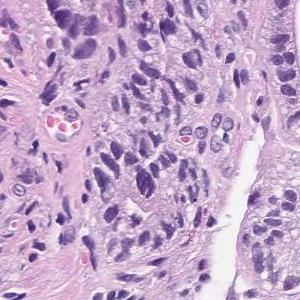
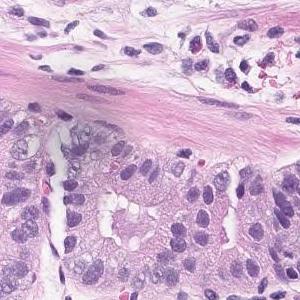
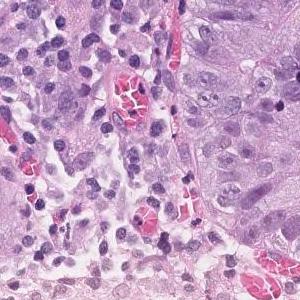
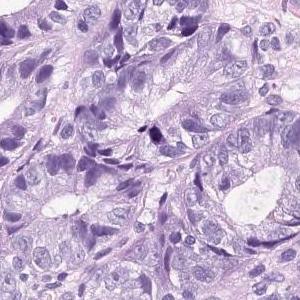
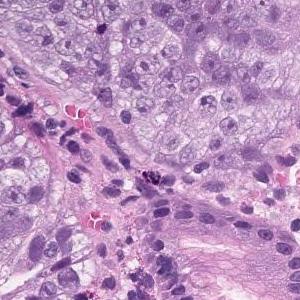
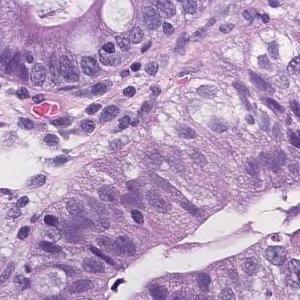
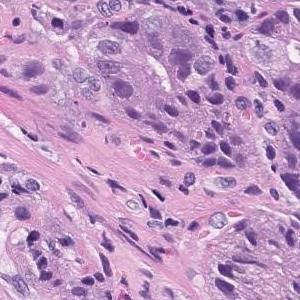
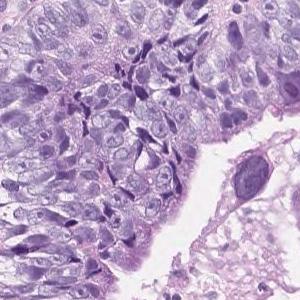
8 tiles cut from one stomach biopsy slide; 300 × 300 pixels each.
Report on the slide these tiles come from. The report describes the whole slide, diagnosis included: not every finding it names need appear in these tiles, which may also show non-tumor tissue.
On the superficial epithelium, tumor tissue consisting of medium to small irregular tubules partially fused and proliferated is observed. moderately differentiated tubular adenocarcinoma
